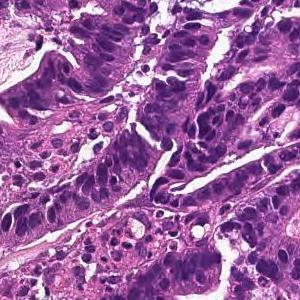
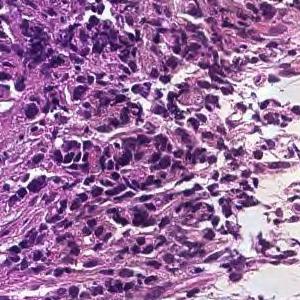
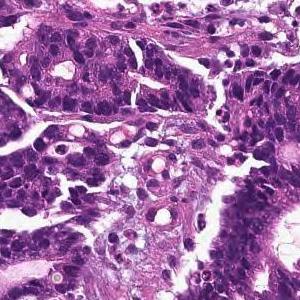
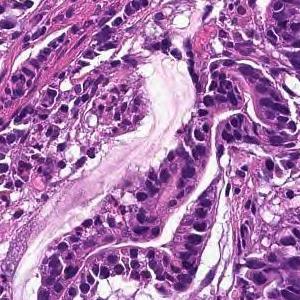
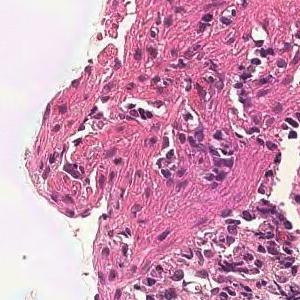
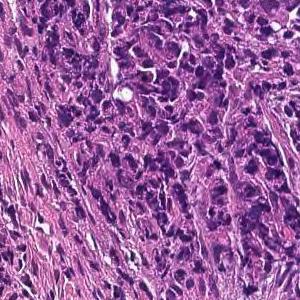
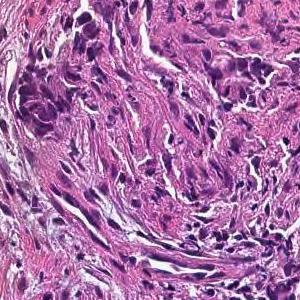
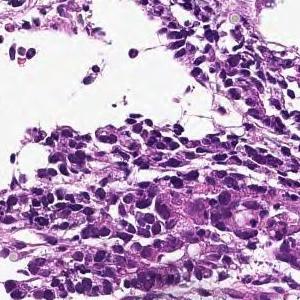
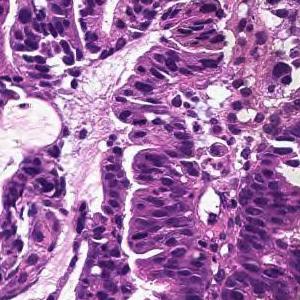
9 tiles from the same stomach biopsy slide · each 300 × 300 pixels · ×20 · H&E.
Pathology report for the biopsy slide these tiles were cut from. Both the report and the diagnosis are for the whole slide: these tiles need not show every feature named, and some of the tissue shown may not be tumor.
In the superficial epithelium, tumor tissue that invades by forming medium-sized to small, irregular ducts is observed. moderately differentiated tubular adenocarcinoma.
